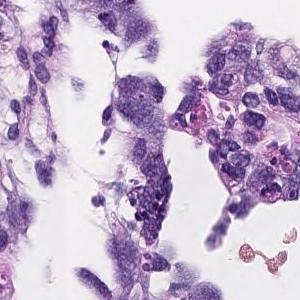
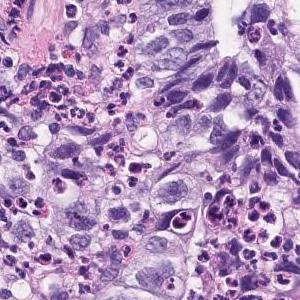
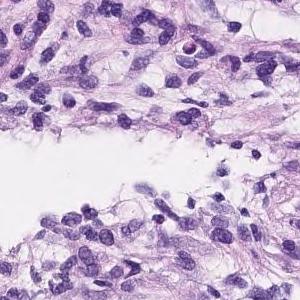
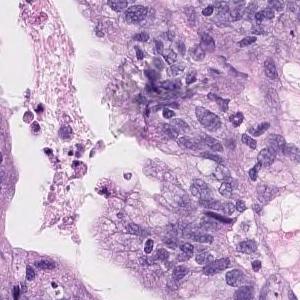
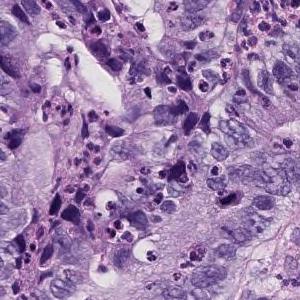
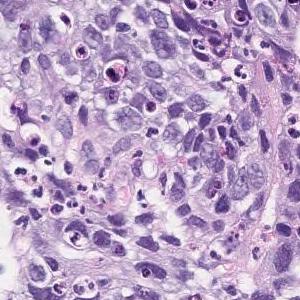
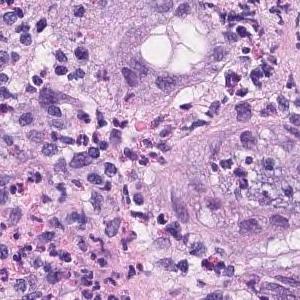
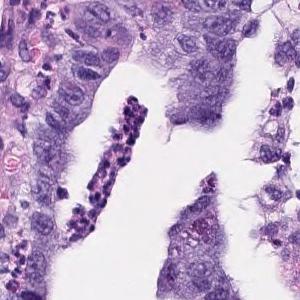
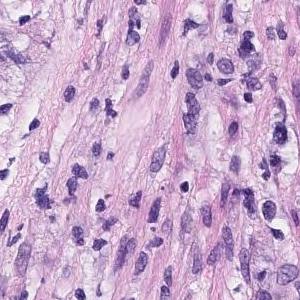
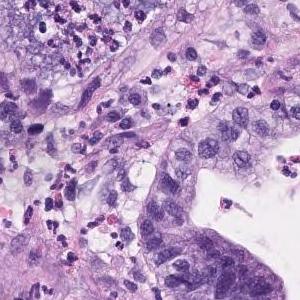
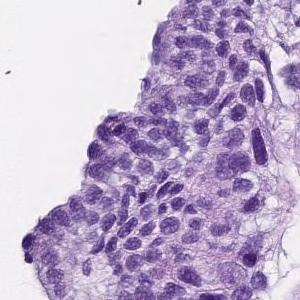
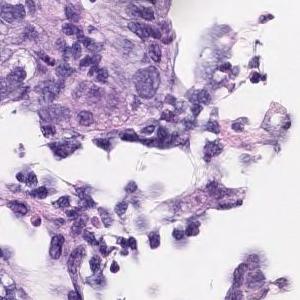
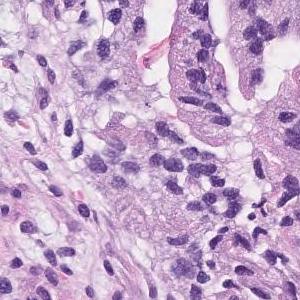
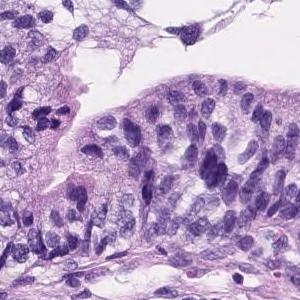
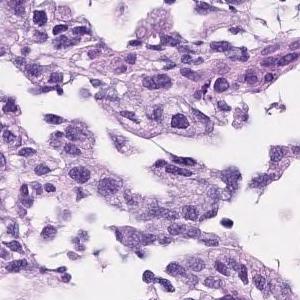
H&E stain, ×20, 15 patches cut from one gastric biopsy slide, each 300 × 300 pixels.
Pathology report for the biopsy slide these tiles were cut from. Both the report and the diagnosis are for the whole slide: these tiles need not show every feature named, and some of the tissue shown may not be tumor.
Tumor cells are large, highly columnar, large club-shaped nuclei, and are associated with chromatin aggregation. Papillary adenocarcinoma.
